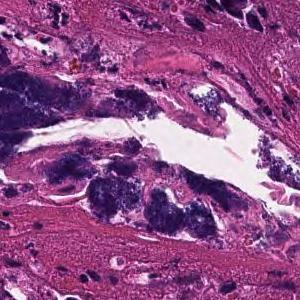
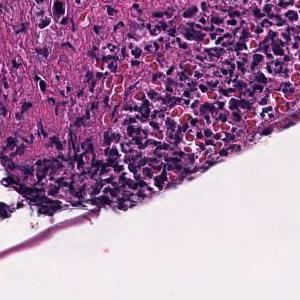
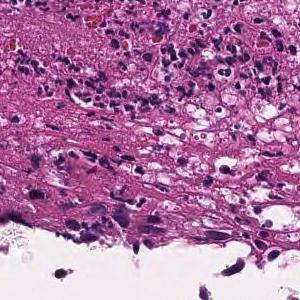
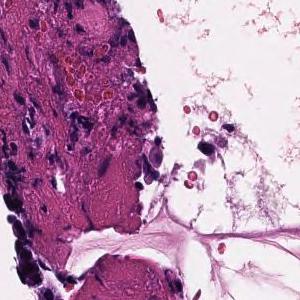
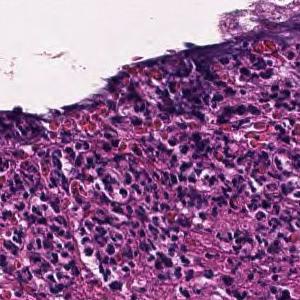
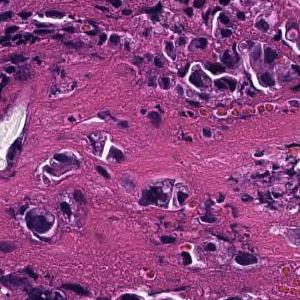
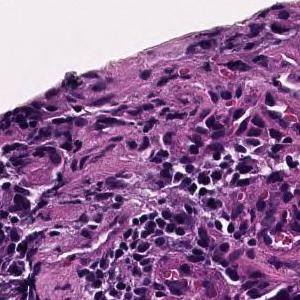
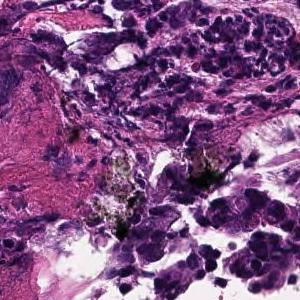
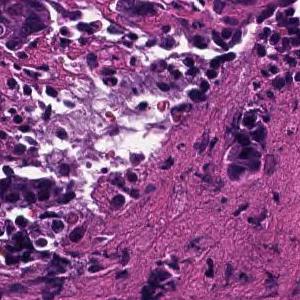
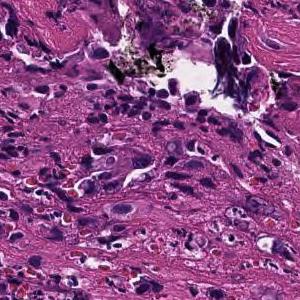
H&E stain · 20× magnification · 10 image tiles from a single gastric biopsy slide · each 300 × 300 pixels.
Diagnostic report for the slide these tiles come from. The report and the diagnosis cover the entire slide, so not every feature they name need be visible here, and some tissue shown may not be tumor.
Tumor tissue consisting of cord-like or small, irregular glandular ducts fused and infiltrated is observed in the superficial epithelium. Poorly differentiated adenocarcinoma, non-solid type
The term "non-solid type" comes from the Japanese Classification of Gastric Carcinoma.
